13 image tiles from a single gastric biopsy slide, H&E stain.
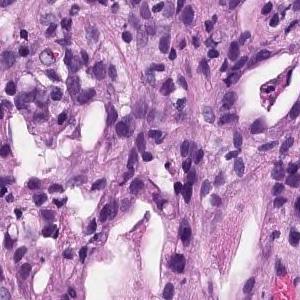
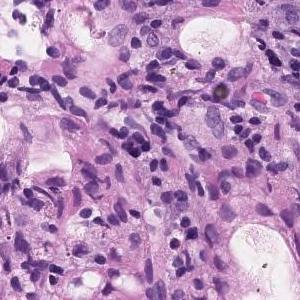
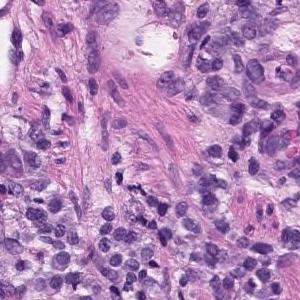
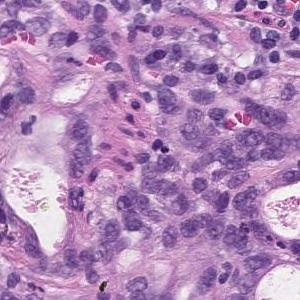
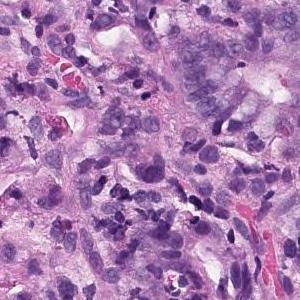
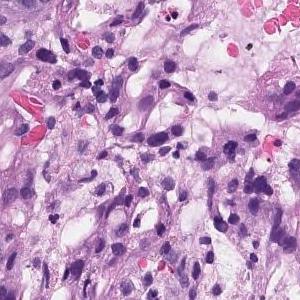
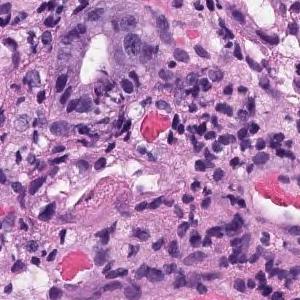
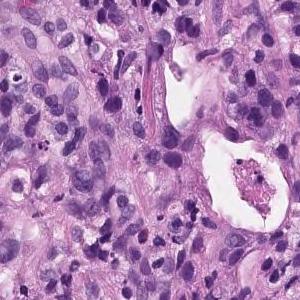
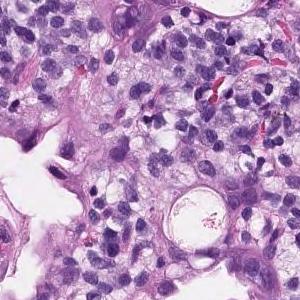
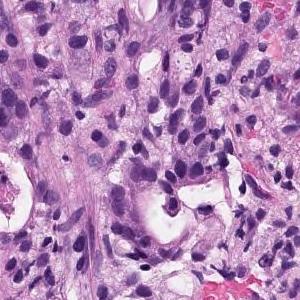
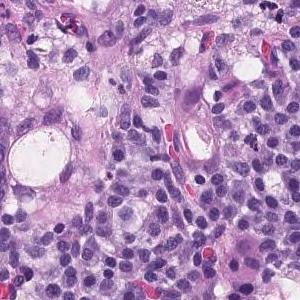
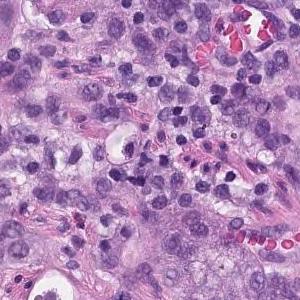
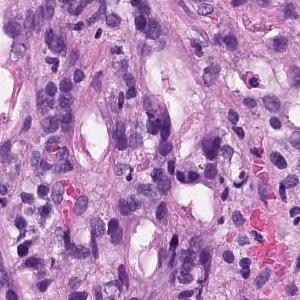
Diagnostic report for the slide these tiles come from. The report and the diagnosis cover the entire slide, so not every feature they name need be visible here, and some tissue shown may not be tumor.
In the superficial epithelium, tumor tissue that invades by forming medium-sized to small, irregular ducts is observed. Moderately differentiated adenocarcinoma.
Histological subtype: Moderately differentiated tubular adenocarcinoma.
